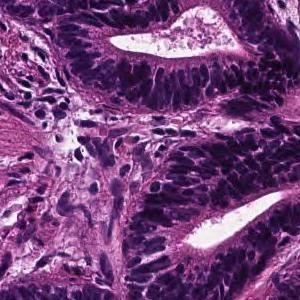
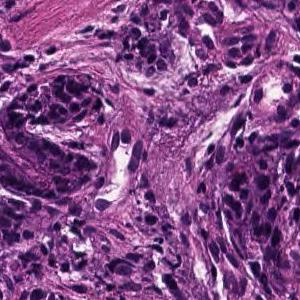
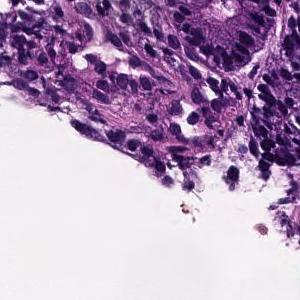
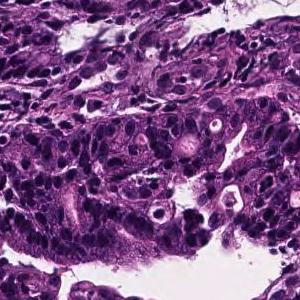
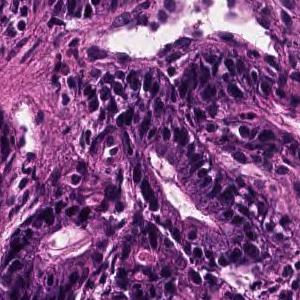
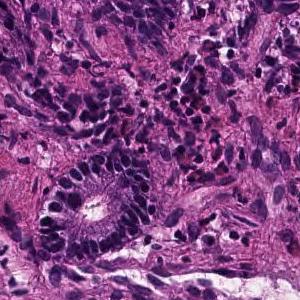
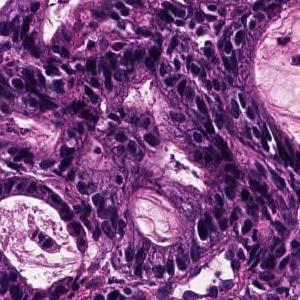
Scanned at ×20; hematoxylin and eosin stain; 7 image tiles from a single gastric biopsy slide.
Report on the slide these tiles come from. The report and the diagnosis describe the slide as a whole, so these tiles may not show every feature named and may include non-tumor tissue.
In the superficial epithelium, tumor tissue that invades by forming medium-sized to small, irregular ducts is observed. Well differentiated tubular adenocarcinoma.
